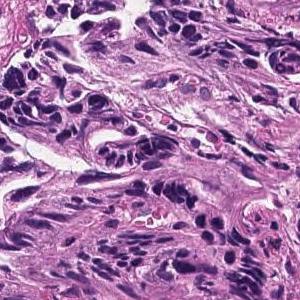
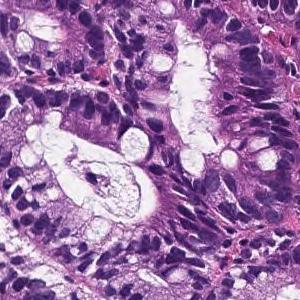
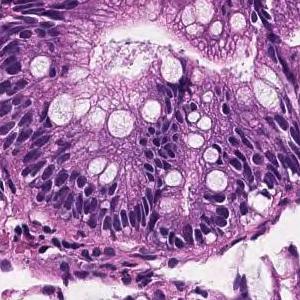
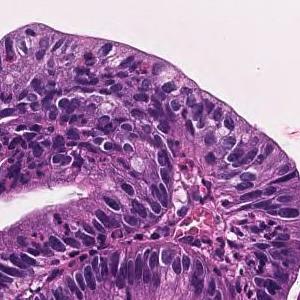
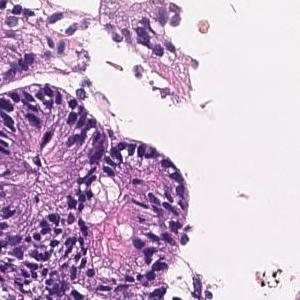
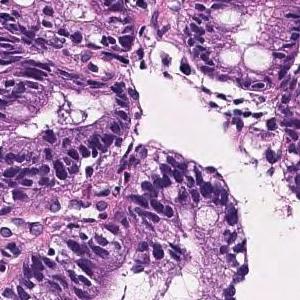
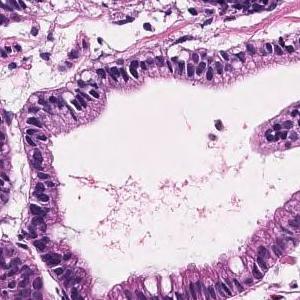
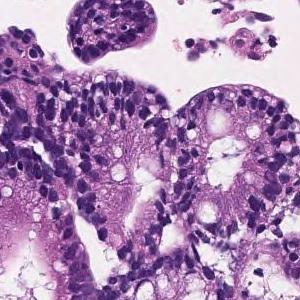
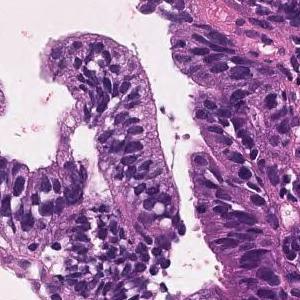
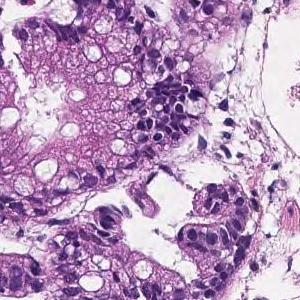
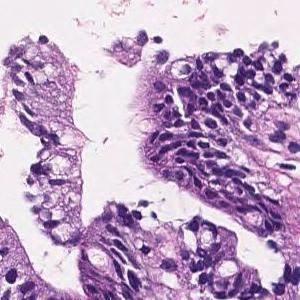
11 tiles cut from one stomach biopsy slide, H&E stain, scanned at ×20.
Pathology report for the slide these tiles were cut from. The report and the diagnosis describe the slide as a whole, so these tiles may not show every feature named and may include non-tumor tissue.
Most remain in the superficial epithelium, forming medium-sized papillary or small irregular ducts and proliferating, and some tumor tissue invades the muscularis mucosae. Papillary adenocarcinoma
